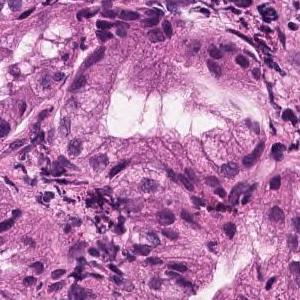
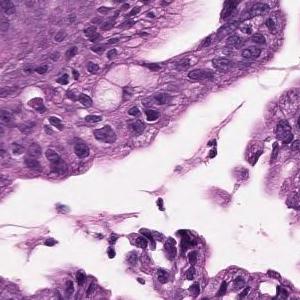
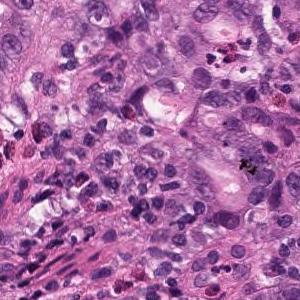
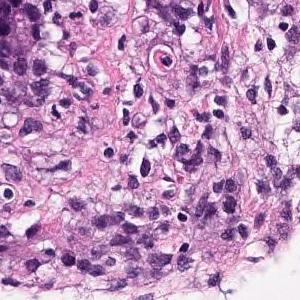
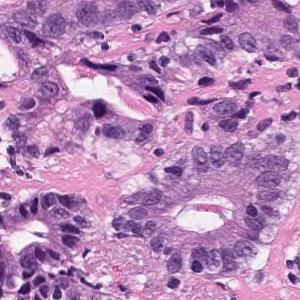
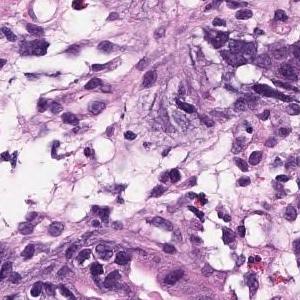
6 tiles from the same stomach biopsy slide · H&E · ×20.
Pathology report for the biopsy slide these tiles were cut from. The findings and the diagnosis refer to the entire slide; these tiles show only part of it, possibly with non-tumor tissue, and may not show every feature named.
Atypical ducts proliferating with obscure duct construction and solid sequences is observed. Moderately to poorly differentiated adenocarcinoma.
